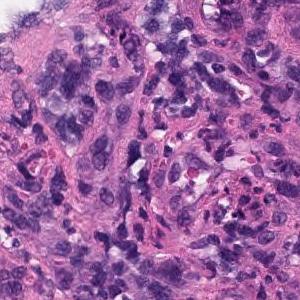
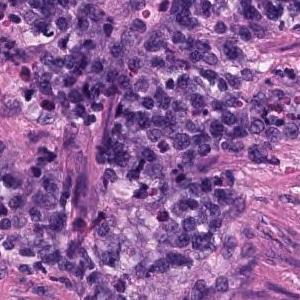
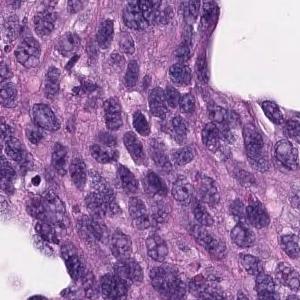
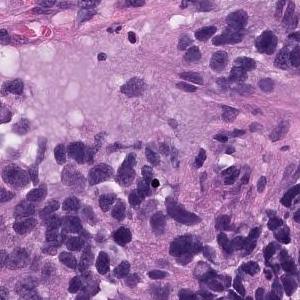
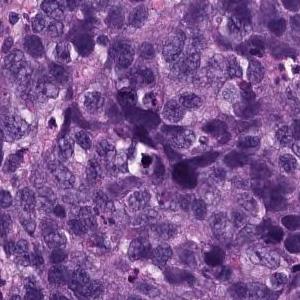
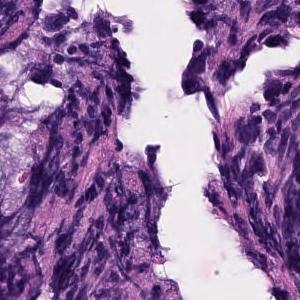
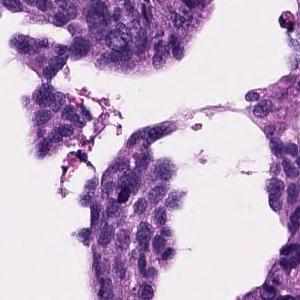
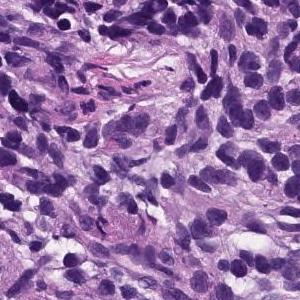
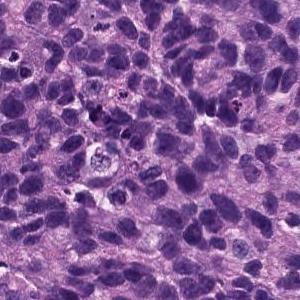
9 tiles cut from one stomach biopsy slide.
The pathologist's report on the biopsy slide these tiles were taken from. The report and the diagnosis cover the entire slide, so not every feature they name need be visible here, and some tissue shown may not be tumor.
Atypical l cells with atypical nuclei under the mucosa growing in isolation and scattered. Poorly differentiated adenocarcinoma (poorly differentiated adenocarcinoma, non-solid type)
Subtype: Poorly differentiated adenocarcinoma, non-solid type.
"Non-solid type" is a category of the Japanese Classification of Gastric Carcinoma.
